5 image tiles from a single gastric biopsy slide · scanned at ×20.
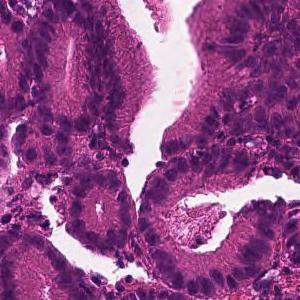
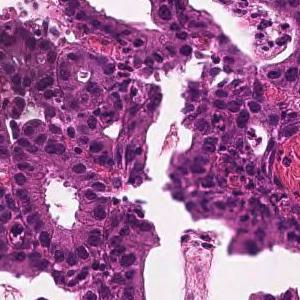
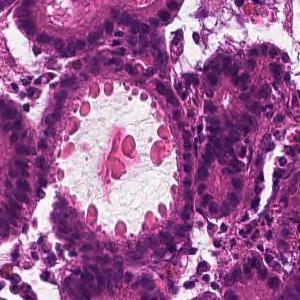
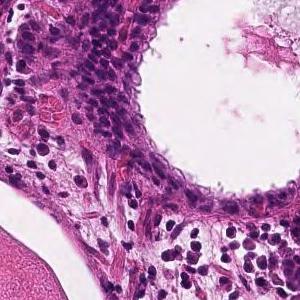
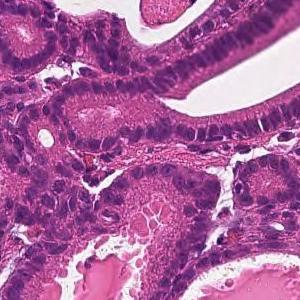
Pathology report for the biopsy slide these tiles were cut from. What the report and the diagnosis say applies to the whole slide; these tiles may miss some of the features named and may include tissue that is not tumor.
From the superficial epithelium to the muscularis mucosae, tumor tissue consisting of medium-sized and irregular glandular ducts infiltrating is observed. Well differentiated tubular adenocarcinoma
